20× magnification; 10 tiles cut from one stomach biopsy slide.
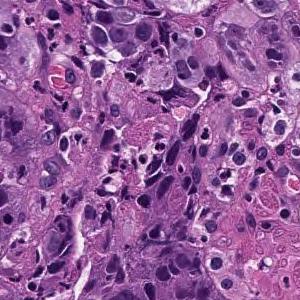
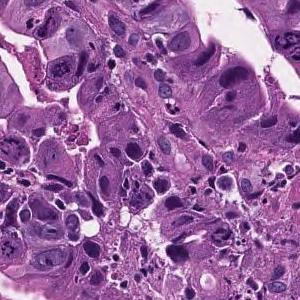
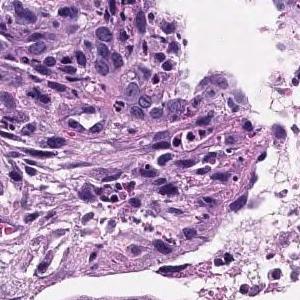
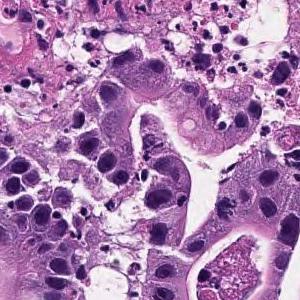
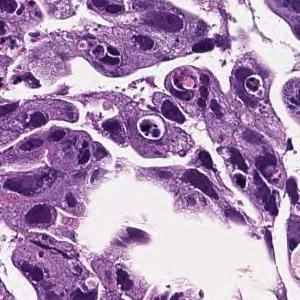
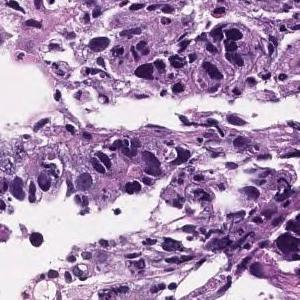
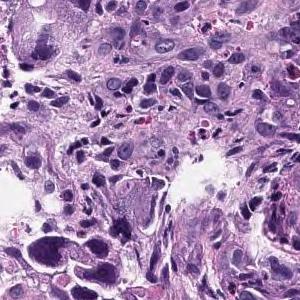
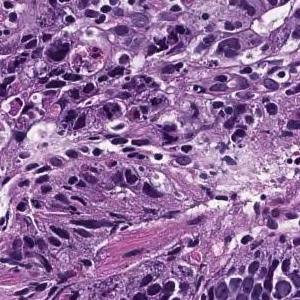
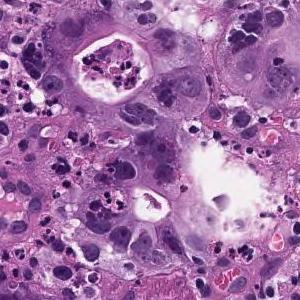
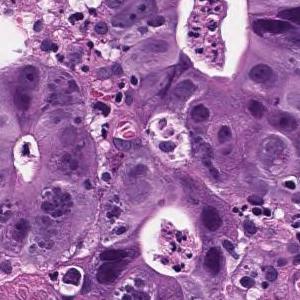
Diagnostic report for the slide these tiles come from. The findings and the diagnosis refer to the entire slide; these tiles show only part of it, possibly with non-tumor tissue, and may not show every feature named.
In the superficial epithelium, medium to small irregular gland ducts are formed, and in some cases, the ducts are fused to show solid alveolar lesions and infiltrating tumor tissue is observed. Moderately to poorly differentiated adenocarcinoma
